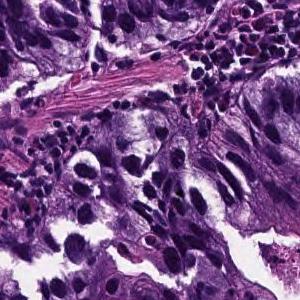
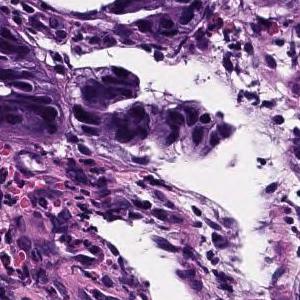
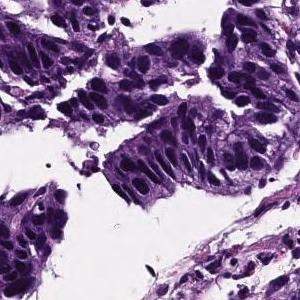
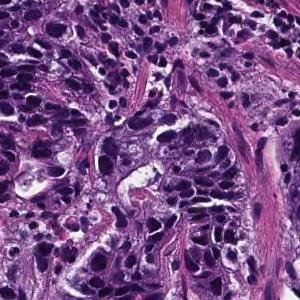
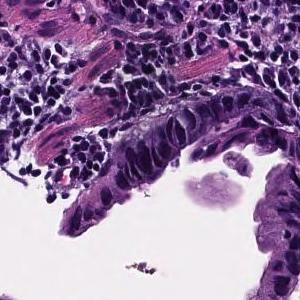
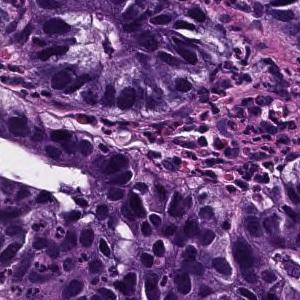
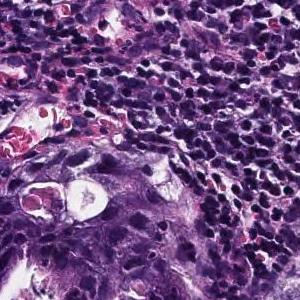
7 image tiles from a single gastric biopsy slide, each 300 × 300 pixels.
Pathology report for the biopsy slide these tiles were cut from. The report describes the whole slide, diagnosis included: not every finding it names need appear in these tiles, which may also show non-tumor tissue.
In the superficial epithelium, tumor tissue that invades by forming medium-sized to small, irregular ducts is observed. Moderately differentiated adenocarcinoma.
Subtype: Moderately differentiated tubular adenocarcinoma.
